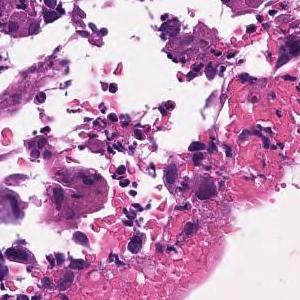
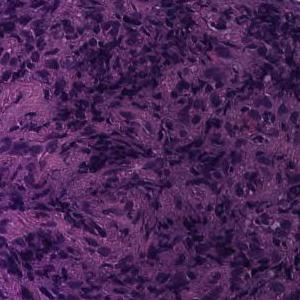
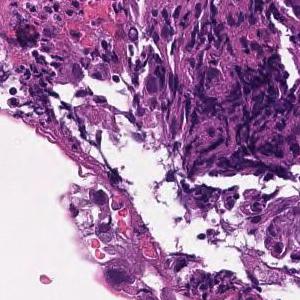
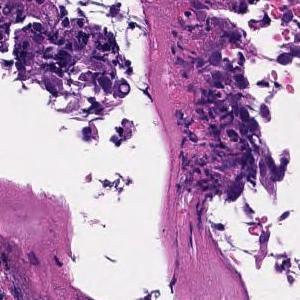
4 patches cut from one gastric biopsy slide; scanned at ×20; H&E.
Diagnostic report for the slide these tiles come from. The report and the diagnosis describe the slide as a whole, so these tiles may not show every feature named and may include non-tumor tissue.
Tumor cells are medium to large, cuboidal, and have little tendency to differentiate. Poorly differentiated adenocarcinoma, solid-type  or moderately differentiated tubular adenocarcinoma
Labeled in the dataset as poorly differentiated adenocarcinoma, solid type (Japanese Classification of Gastric Carcinoma). The WHO 2019 equivalent is tubular adenocarcinoma, poorly differentiated.
